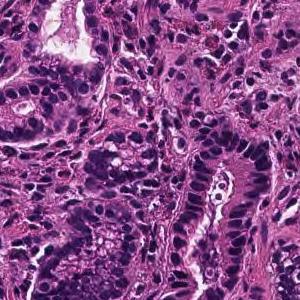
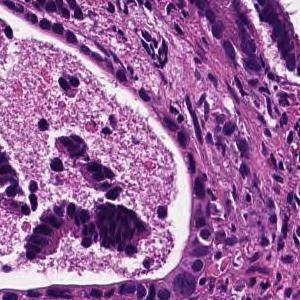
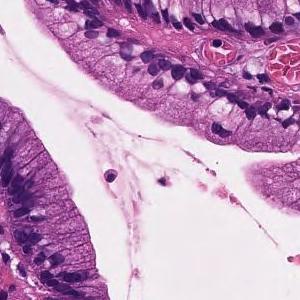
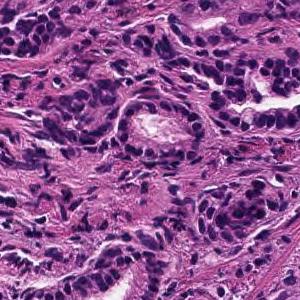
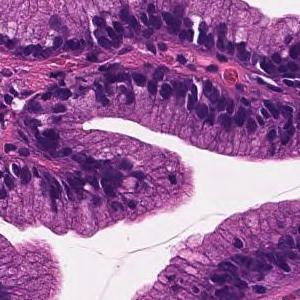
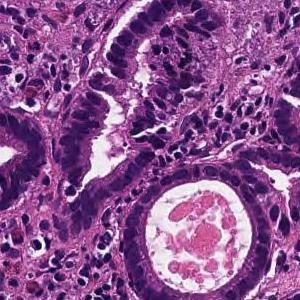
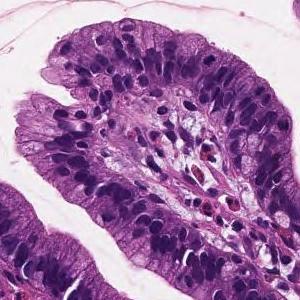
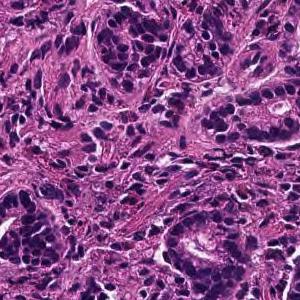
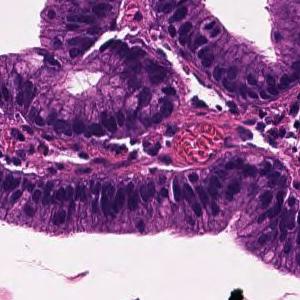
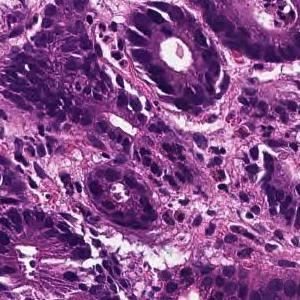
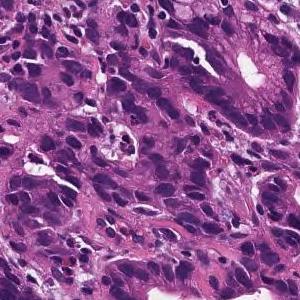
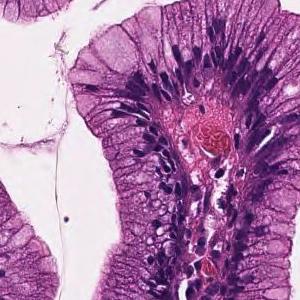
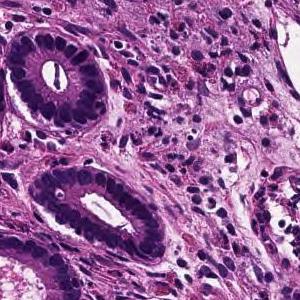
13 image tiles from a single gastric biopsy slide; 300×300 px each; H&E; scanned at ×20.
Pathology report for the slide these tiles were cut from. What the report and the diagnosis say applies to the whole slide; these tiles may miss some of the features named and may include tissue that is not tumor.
On the superficial epithelium, tumor tissue consisting of medium-sized and irregular glandular ducts partially fused and infiltrated is observed. Well to moderately differentiated tubular adenocarcinoma (well differentiated tubular adenocarcinoma-moderately differentiated tubular adenocarcinoma)
Histologic type: Well to moderately differentiated tubular adenocarcinoma.
